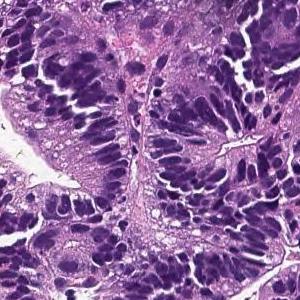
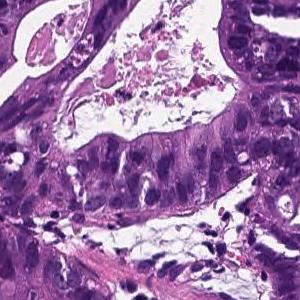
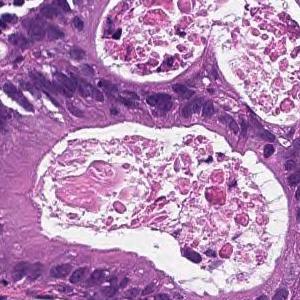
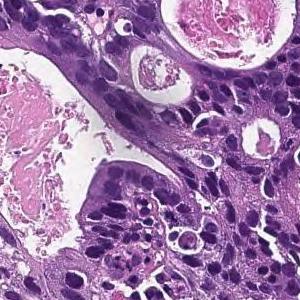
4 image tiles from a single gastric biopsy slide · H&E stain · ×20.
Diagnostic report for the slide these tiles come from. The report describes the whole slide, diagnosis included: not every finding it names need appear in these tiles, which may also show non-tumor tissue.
In the superficial epithelium, tumor tissue that invades by forming medium-sized to small, irregular ducts is observed. moderately differentiated tubular adenocarcinoma.
